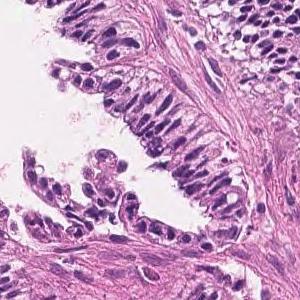
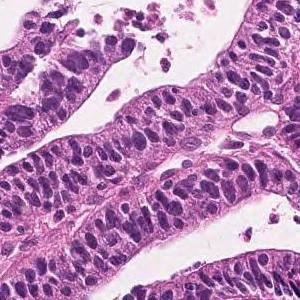
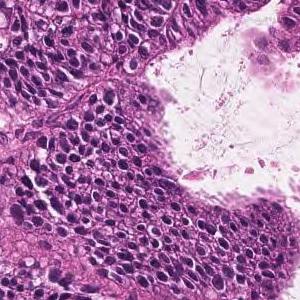
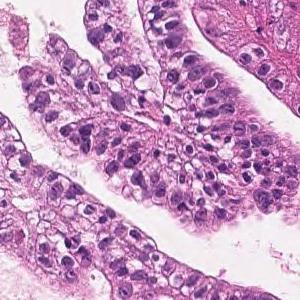
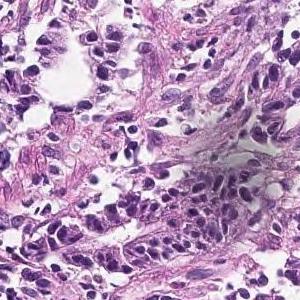
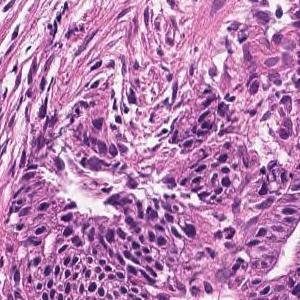
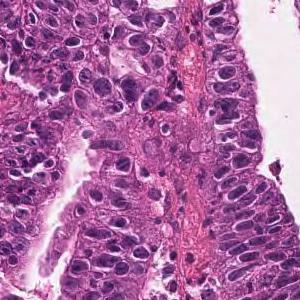
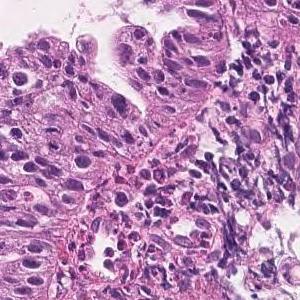
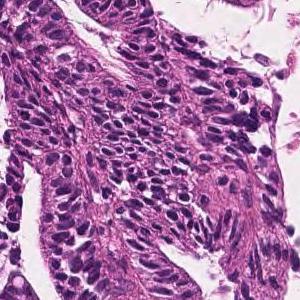
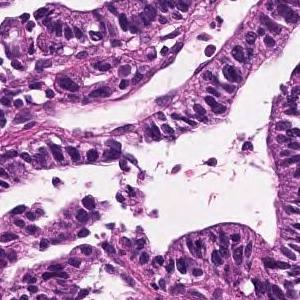
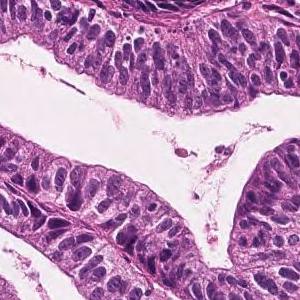
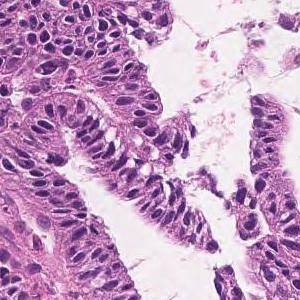
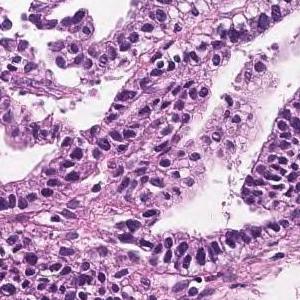
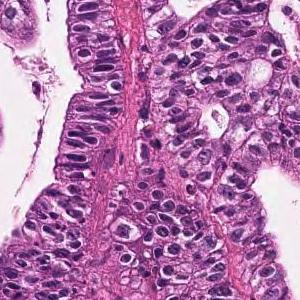
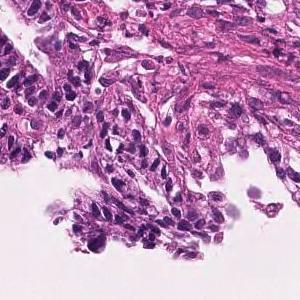
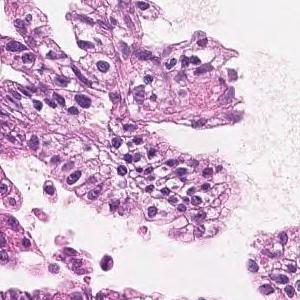
16 image tiles from a single gastric biopsy slide; 300 × 300 pixels each; 20× magnification; H&E stain.
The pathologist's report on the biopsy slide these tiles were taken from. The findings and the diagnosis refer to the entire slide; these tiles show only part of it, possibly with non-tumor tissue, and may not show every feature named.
Tumor cells are large, highly columnar, large club-shaped nuclei, and are associated with chromatin aggregation. Papillary adenocarcinoma.
